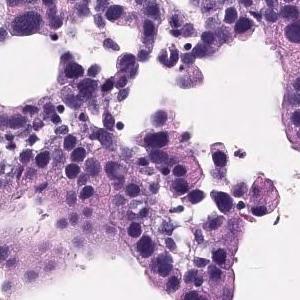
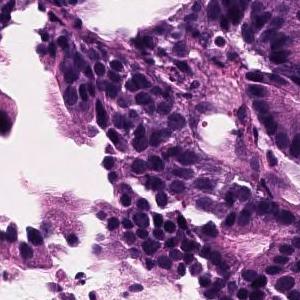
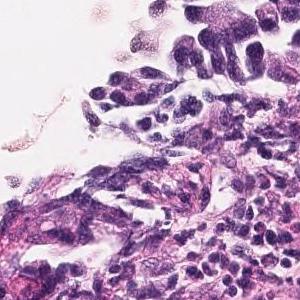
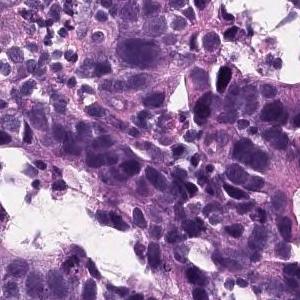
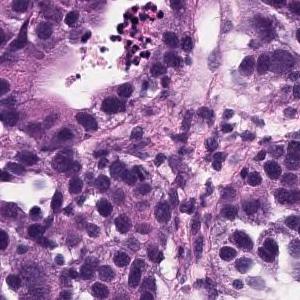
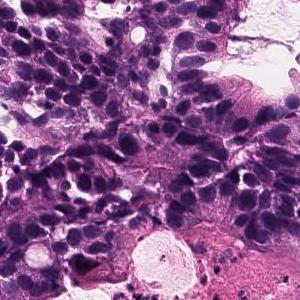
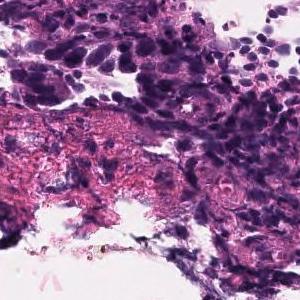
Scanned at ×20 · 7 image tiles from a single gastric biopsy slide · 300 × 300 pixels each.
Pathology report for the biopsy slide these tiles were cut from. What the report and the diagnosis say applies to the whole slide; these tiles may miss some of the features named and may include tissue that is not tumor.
In the superficial epithelium, tumor tissue that invades by forming medium-sized to small, irregular ducts is observed. moderately differentiated tubular adenocarcinoma.
